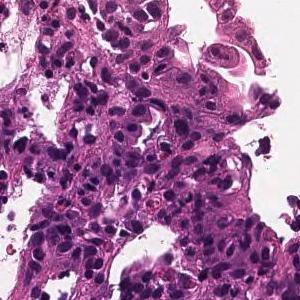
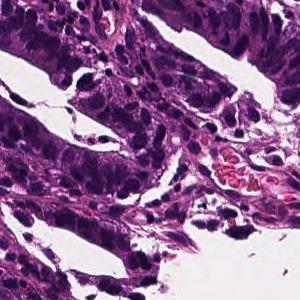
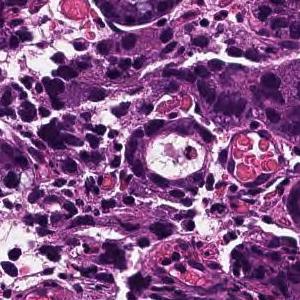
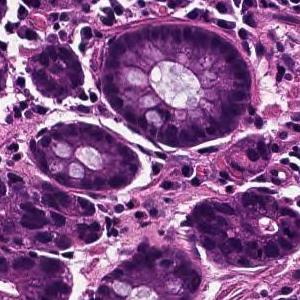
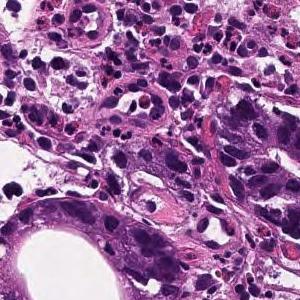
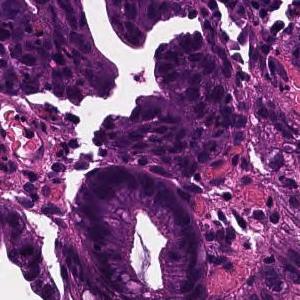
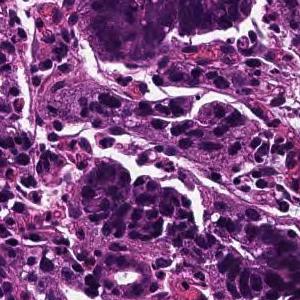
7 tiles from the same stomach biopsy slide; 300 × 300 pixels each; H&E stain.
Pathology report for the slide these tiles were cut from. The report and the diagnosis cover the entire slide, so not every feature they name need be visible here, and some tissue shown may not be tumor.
In the superficial epithelium, tumor tissue that invades by forming medium-sized to small, irregular ducts is observed. moderately differentiated tubular adenocarcinoma.
